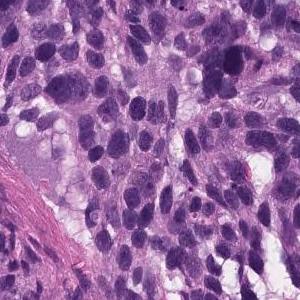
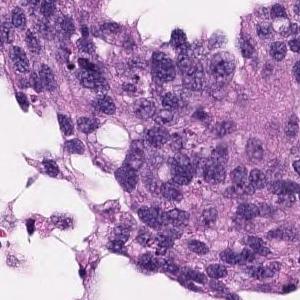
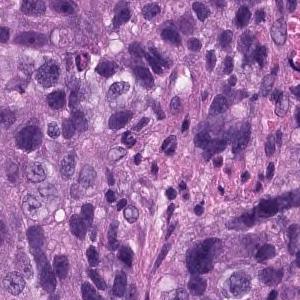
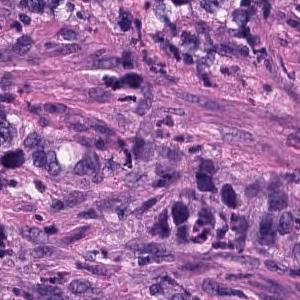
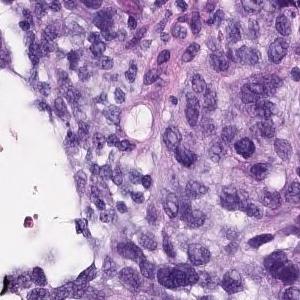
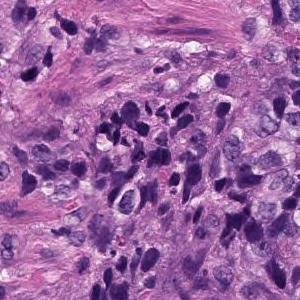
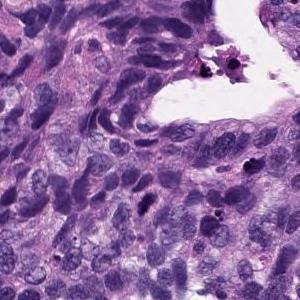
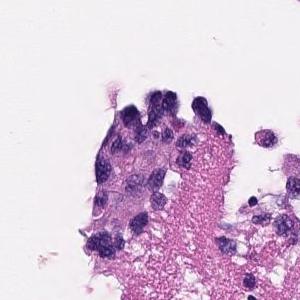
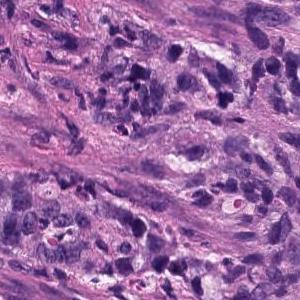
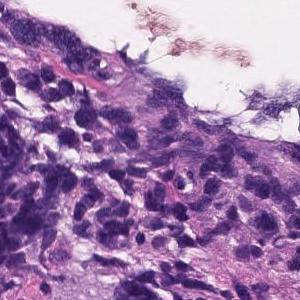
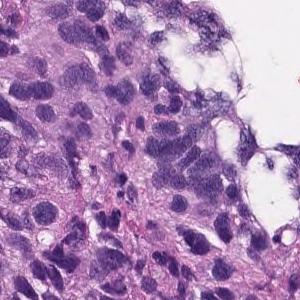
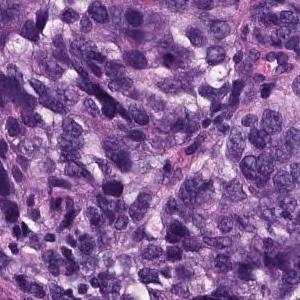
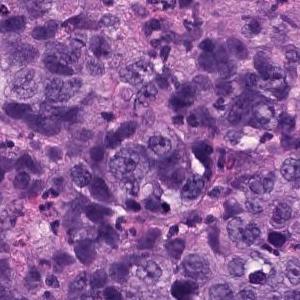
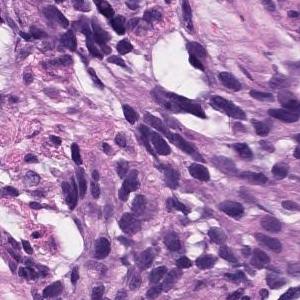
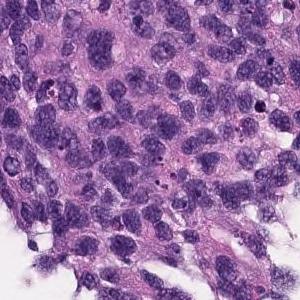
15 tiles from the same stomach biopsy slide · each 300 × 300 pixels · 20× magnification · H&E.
Report on the slide these tiles come from. The report and the diagnosis cover the entire slide, so not every feature they name need be visible here, and some tissue shown may not be tumor.
Atypical l cells with atypical nuclei under the mucosa growing in isolation and scattered. Poorly differentiated adenocarcinoma (poorly differentiated adenocarcinoma, non-solid type)
Histologic type: Poorly differentiated adenocarcinoma, non-solid type.
The non-solid type named here is a Japanese Classification of Gastric Carcinoma category.
